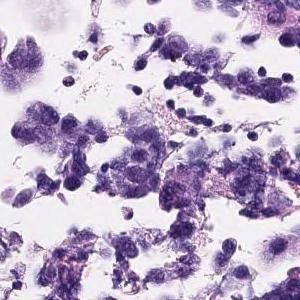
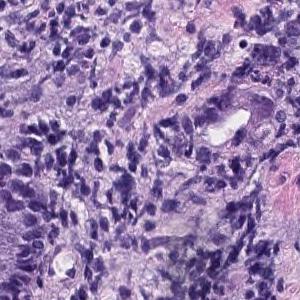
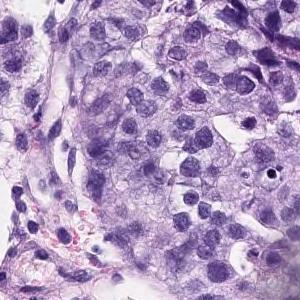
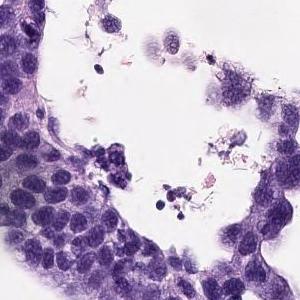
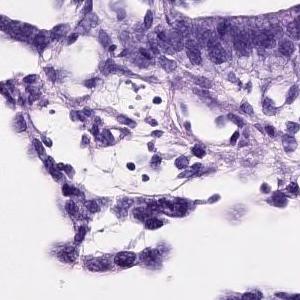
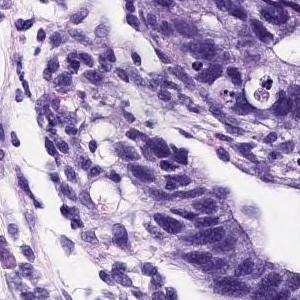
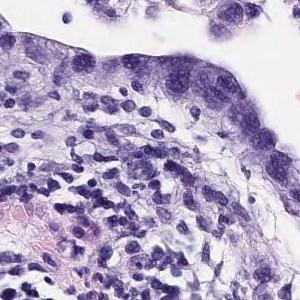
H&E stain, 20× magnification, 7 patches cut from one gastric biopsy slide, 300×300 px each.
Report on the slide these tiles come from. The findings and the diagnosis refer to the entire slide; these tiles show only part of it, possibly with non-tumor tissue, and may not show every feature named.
On the superficial epithelium, tumor tissue consisting of medium to small irregular tubules partially fused and proliferated is observed. moderately differentiated tubular adenocarcinoma
